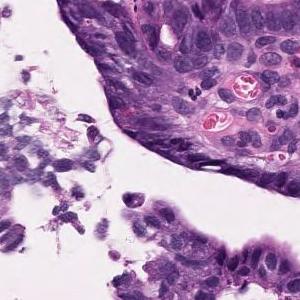
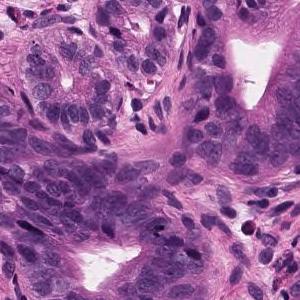
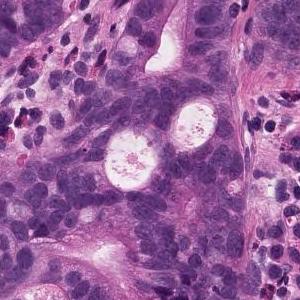
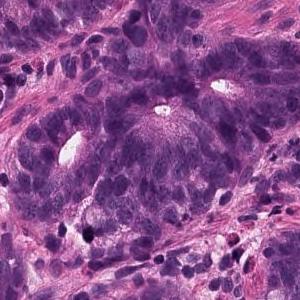
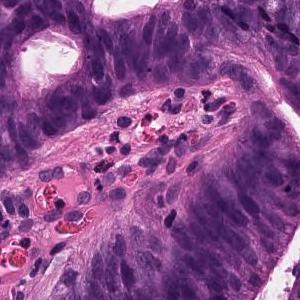
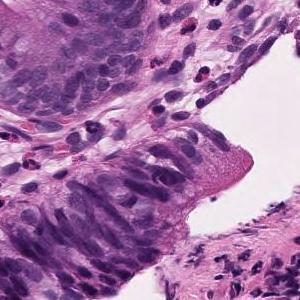
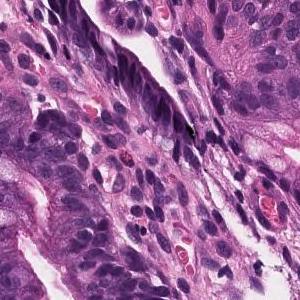
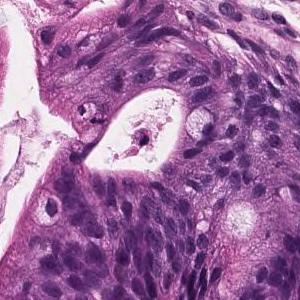
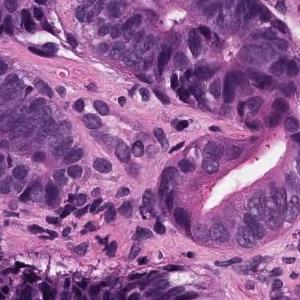
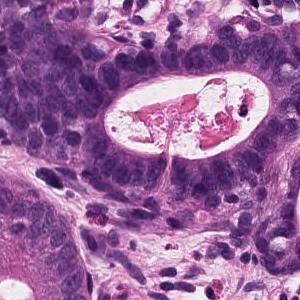
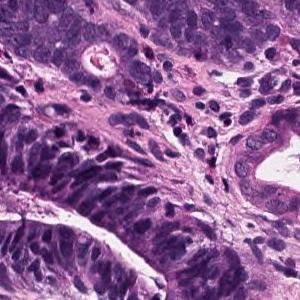
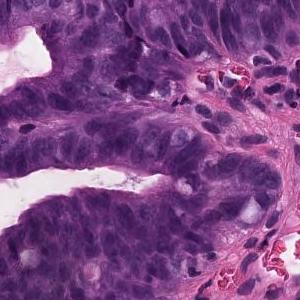
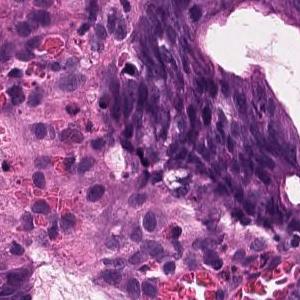
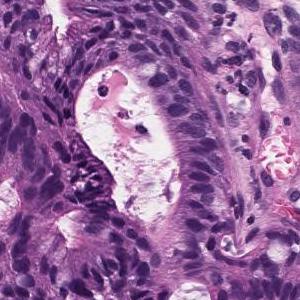
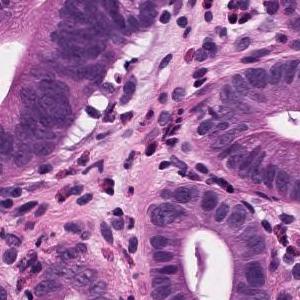
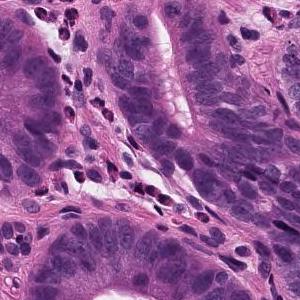
16 tiles cut from one stomach biopsy slide, 300×300 px each, hematoxylin and eosin stain.
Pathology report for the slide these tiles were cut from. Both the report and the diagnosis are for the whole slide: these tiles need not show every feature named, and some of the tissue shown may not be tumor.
Atypical ducts proliferating while irregularly fusing in the lateral direction is observed. Well differentiated tubular adenocarcinoma
